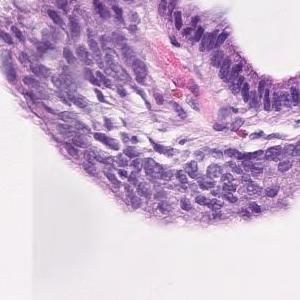
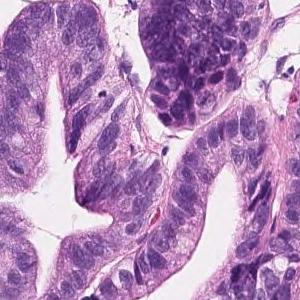
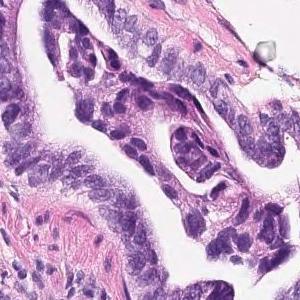
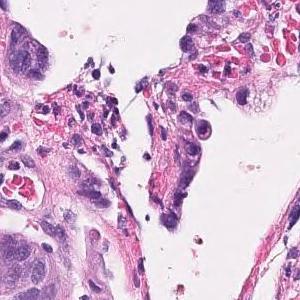
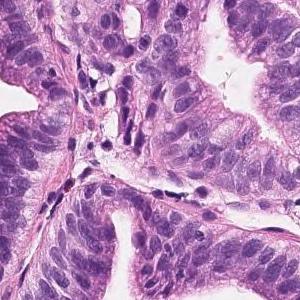
5 tiles cut from one stomach biopsy slide; each 300 × 300 pixels; hematoxylin and eosin stain.
Diagnostic report for the slide these tiles come from. What the report and the diagnosis say applies to the whole slide; these tiles may miss some of the features named and may include tissue that is not tumor.
Tumor cells are large, highly columnar, large club-shaped nuclei, and are associated with chromatin aggregation. Papillary adenocarcinoma.
